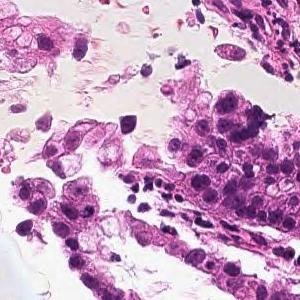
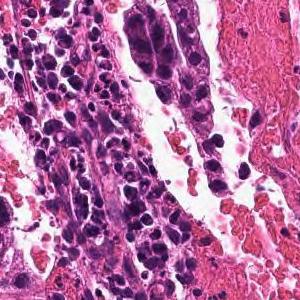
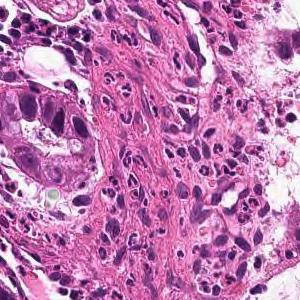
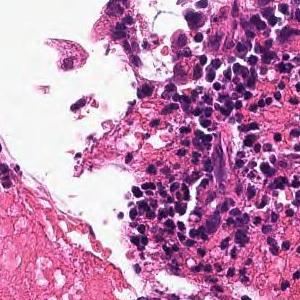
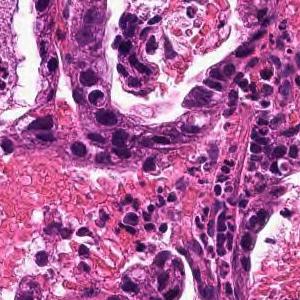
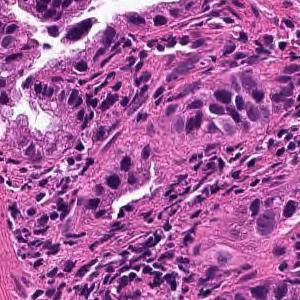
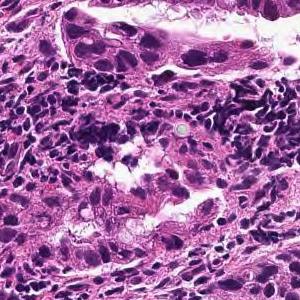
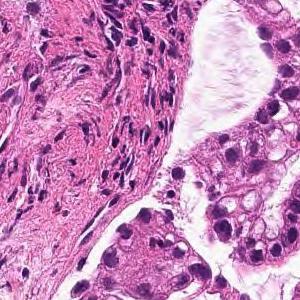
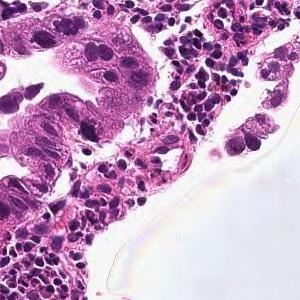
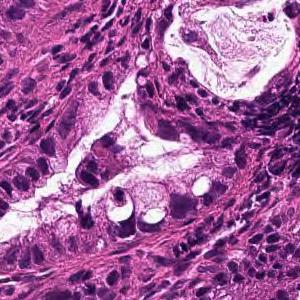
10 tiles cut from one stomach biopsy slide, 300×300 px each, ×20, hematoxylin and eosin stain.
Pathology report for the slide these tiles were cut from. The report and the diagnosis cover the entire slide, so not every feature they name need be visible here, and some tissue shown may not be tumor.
From the superficial epithelium to the muscularis mucosae, tumor tissue infiltrating by forming medium-sized irregular gland ducts is observed. Well differentiated tubular adenocarcinoma
